12 tiles from the same stomach biopsy slide, each 300 × 300 pixels, 20× magnification.
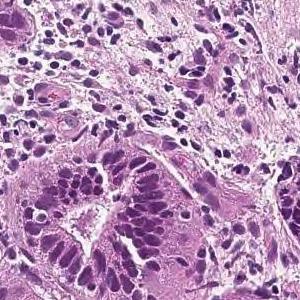
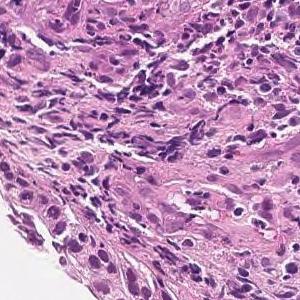
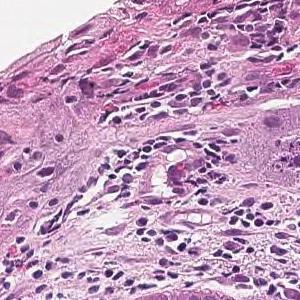
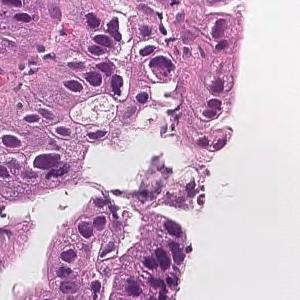
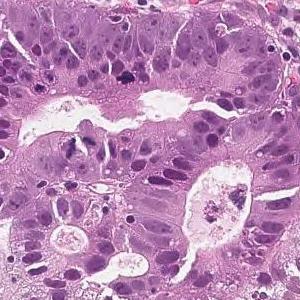
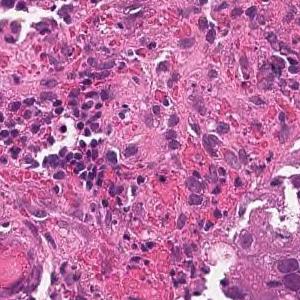
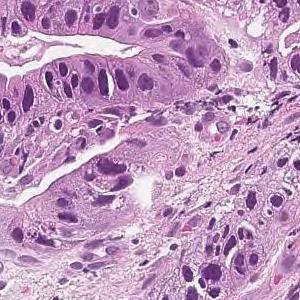
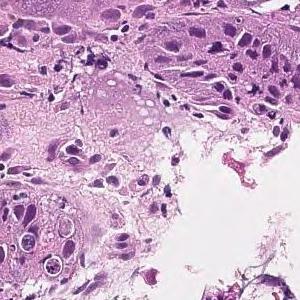
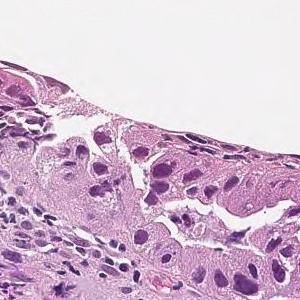
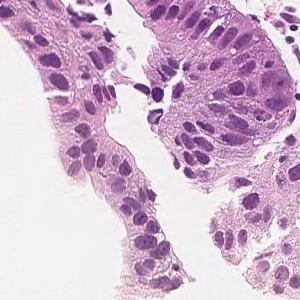
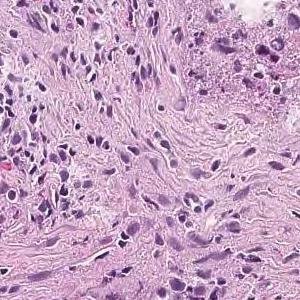
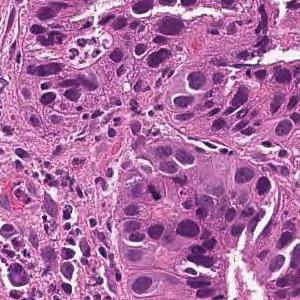
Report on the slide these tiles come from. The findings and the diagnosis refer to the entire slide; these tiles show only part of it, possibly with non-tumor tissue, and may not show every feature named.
In the superficial epithelium, tumor tissue that invades by forming medium-sized to small, irregular ducts is observed. moderately differentiated tubular adenocarcinoma.
